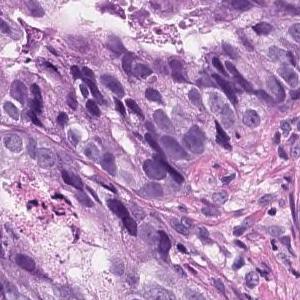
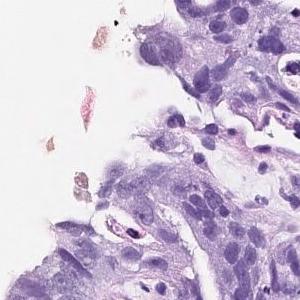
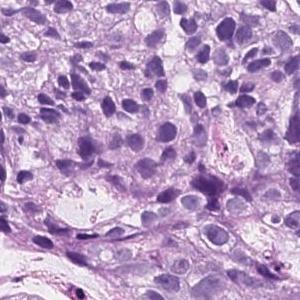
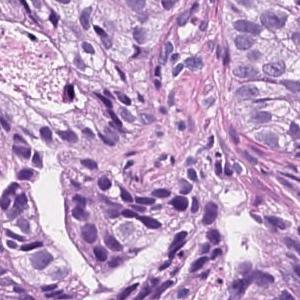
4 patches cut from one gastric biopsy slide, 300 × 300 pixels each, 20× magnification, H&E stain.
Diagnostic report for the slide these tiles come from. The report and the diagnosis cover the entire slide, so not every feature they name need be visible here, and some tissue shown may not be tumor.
On the superficial epithelium, tumor tissue consisting of an image of large, irregular glandular ducts partially fused and infiltrated is observed. Well to moderately differentiated tubular adenocarcinoma
